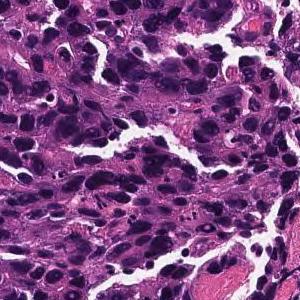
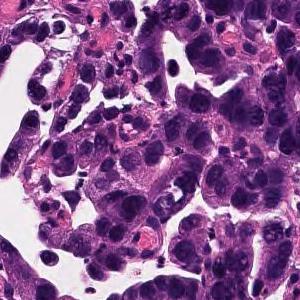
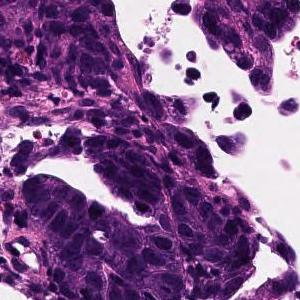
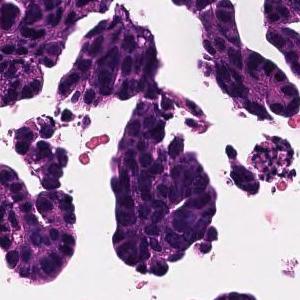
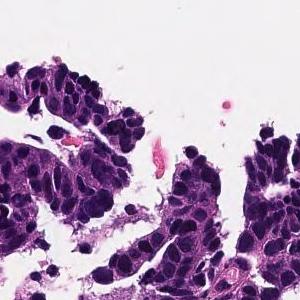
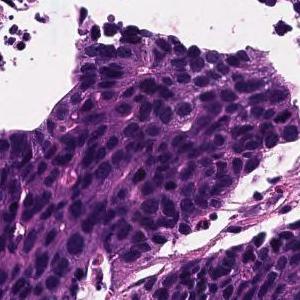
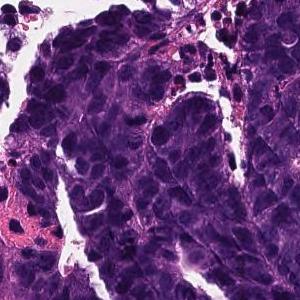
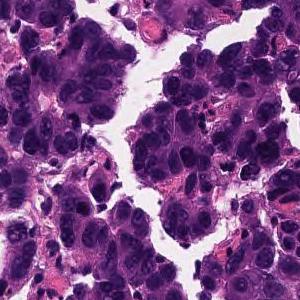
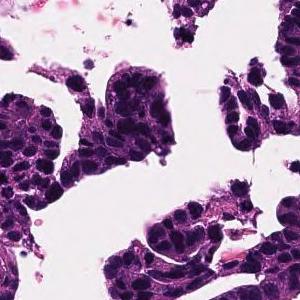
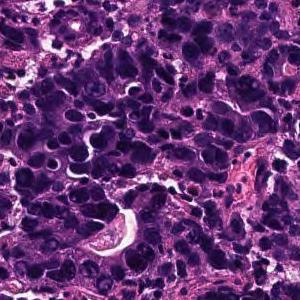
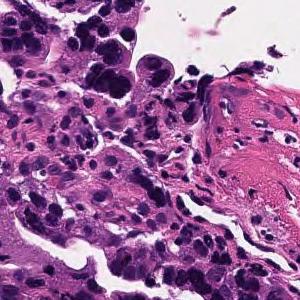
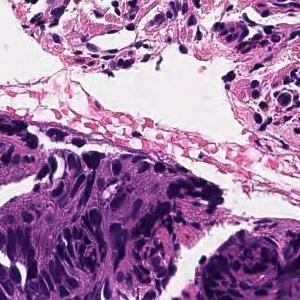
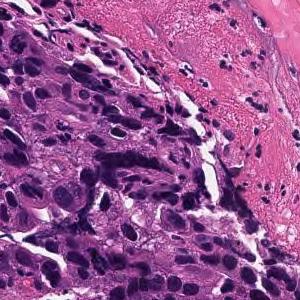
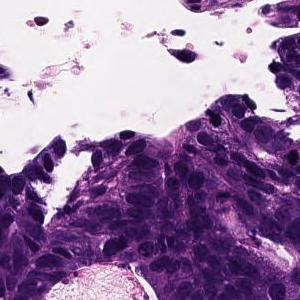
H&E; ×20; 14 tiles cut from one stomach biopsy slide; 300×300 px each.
Pathology report for the slide these tiles were cut from. The report describes the whole slide, diagnosis included: not every finding it names need appear in these tiles, which may also show non-tumor tissue.
In the superficial epithelium, tumor tissue that invades by forming medium-sized to small, irregular ducts is observed. moderately differentiated tubular adenocarcinoma.
